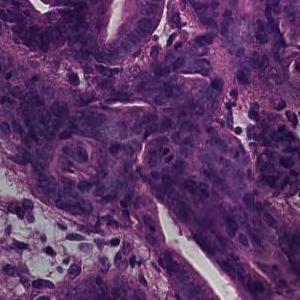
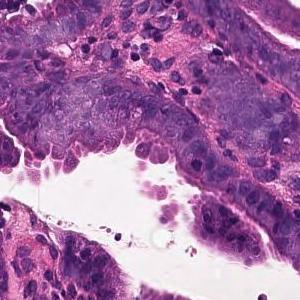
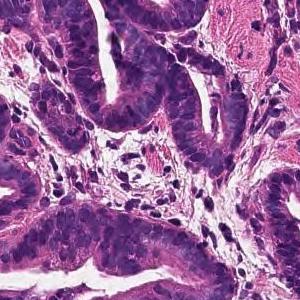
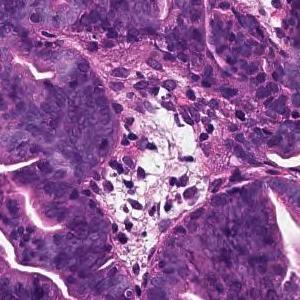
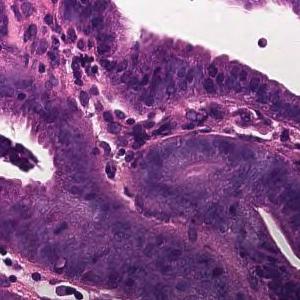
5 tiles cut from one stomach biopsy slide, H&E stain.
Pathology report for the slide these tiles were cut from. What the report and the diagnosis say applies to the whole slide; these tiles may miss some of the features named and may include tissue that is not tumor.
Tumor cells are large, highly columnar, large club-shaped nuclei, and are associated with chromatin aggregation. Papillary adenocarcinoma.
